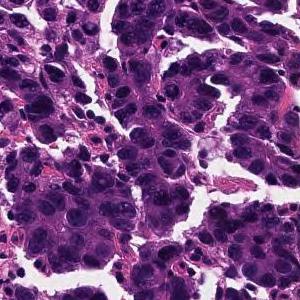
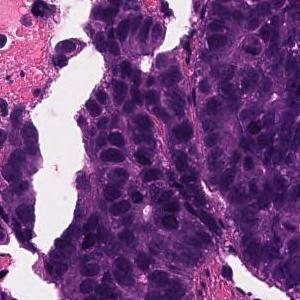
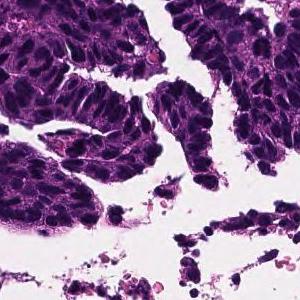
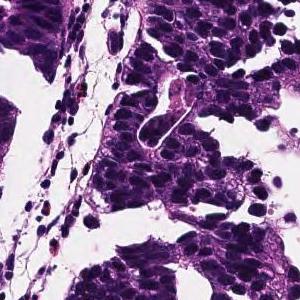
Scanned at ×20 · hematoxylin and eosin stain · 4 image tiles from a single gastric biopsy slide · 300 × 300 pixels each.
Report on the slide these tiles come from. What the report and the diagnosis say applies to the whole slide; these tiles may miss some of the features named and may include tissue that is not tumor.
In the superficial epithelium, tumor tissue that invades by forming medium-sized to small, irregular ducts is observed. moderately differentiated tubular adenocarcinoma.
